20× magnification · hematoxylin and eosin stain · 11 image tiles from a single gastric biopsy slide · 300×300 px each.
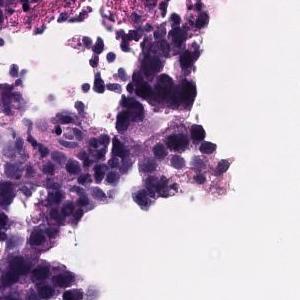
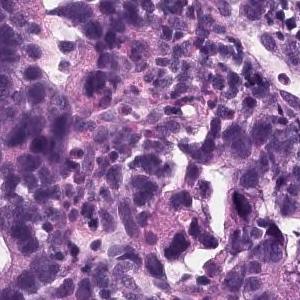
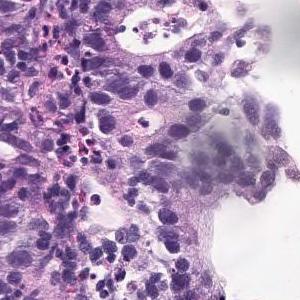
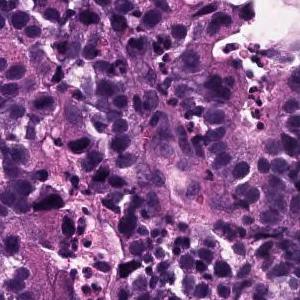
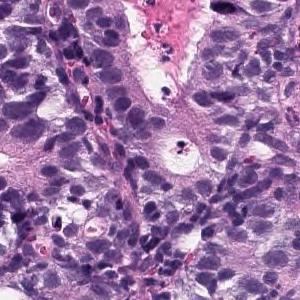
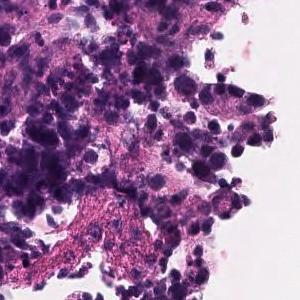
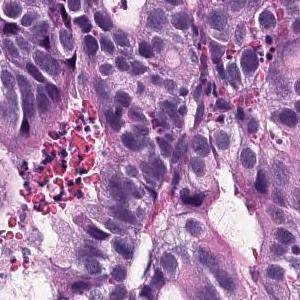
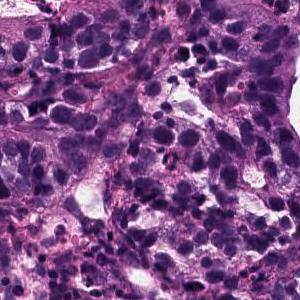
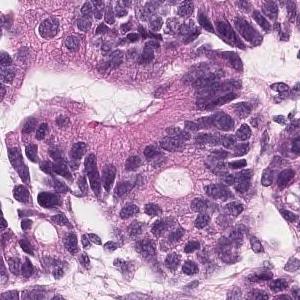
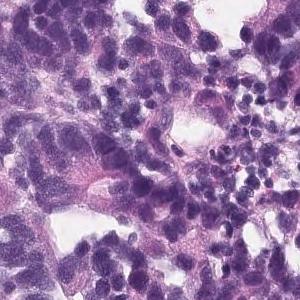
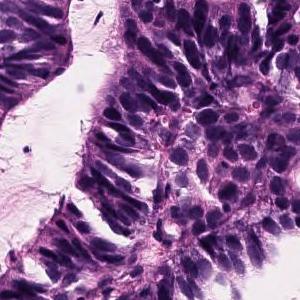
Pathology report for the biopsy slide these tiles were cut from. The findings and the diagnosis refer to the entire slide; these tiles show only part of it, possibly with non-tumor tissue, and may not show every feature named.
In the superficial epithelium, tumor tissue that invades by forming medium-sized to small, irregular ducts is observed. moderately differentiated tubular adenocarcinoma.
